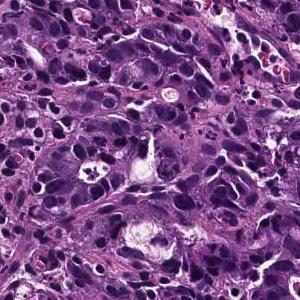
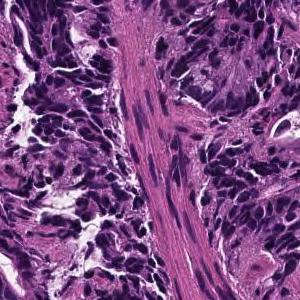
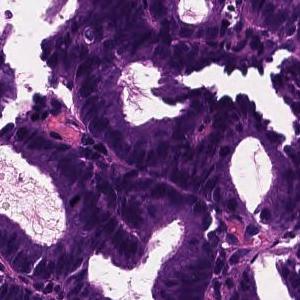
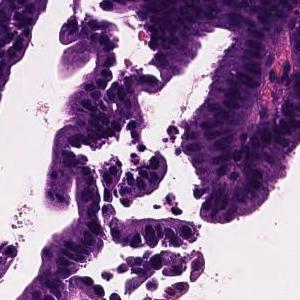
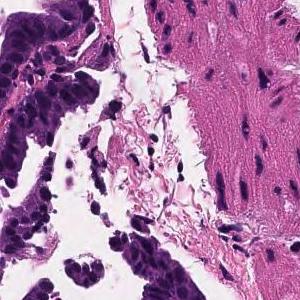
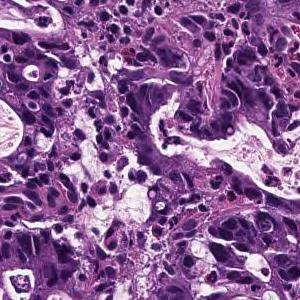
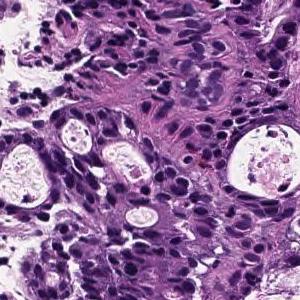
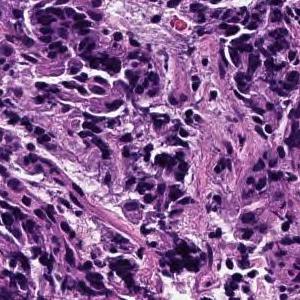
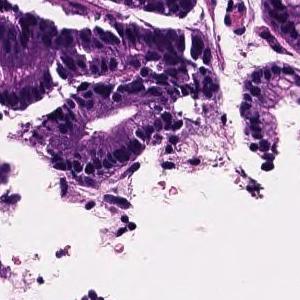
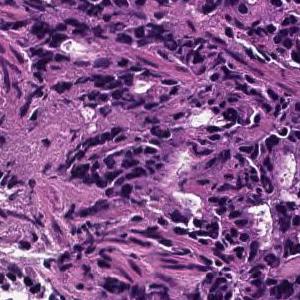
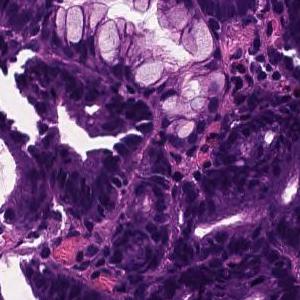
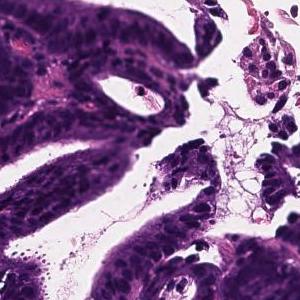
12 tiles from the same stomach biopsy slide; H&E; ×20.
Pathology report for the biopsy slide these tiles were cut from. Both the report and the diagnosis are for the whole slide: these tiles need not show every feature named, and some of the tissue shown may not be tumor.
In the superficial epithelium, tumor tissue that invades by forming medium-sized to small, irregular ducts is observed. moderately differentiated tubular adenocarcinoma.
